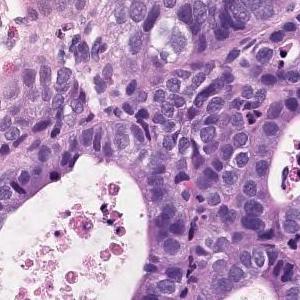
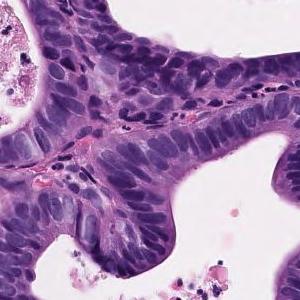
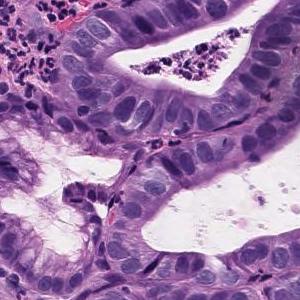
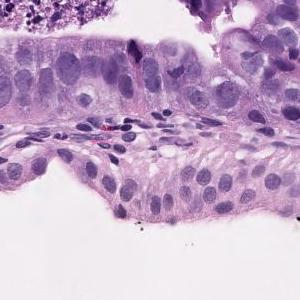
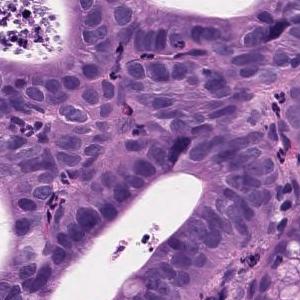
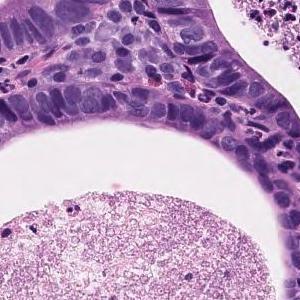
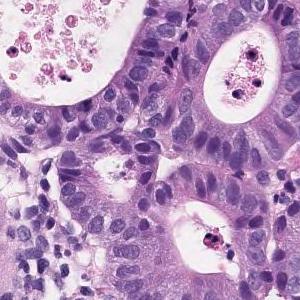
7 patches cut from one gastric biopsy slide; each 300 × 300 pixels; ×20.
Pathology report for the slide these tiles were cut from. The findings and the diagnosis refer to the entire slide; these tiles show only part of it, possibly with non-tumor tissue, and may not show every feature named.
Tumor tissue consisting of proliferative medium to large, round or irregular glandular ducts in the superficial epithelium. Well differentiated adenocarcinoma.
Histologic type: Well differentiated tubular adenocarcinoma.
